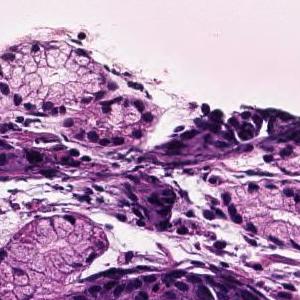
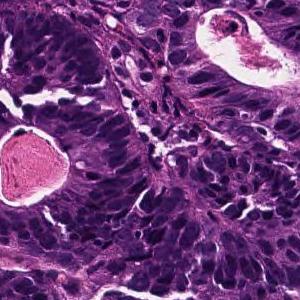
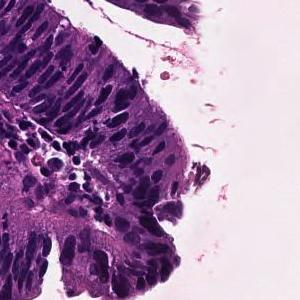
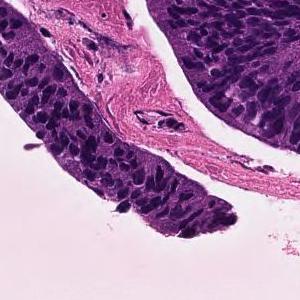
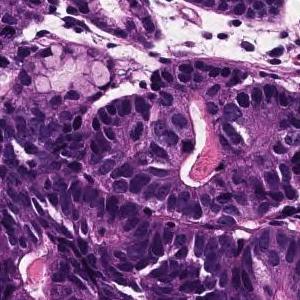
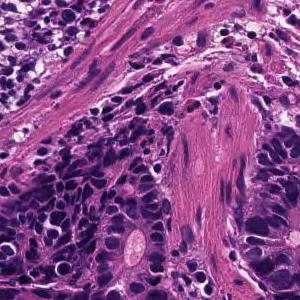
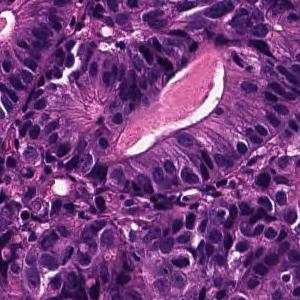
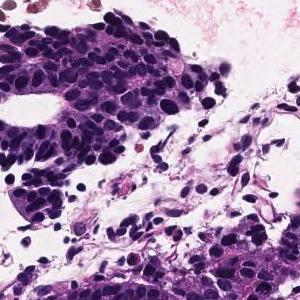
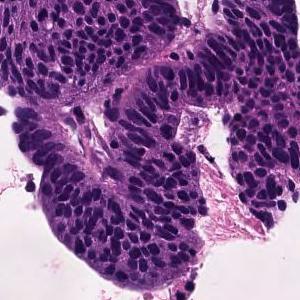
9 image tiles from a single gastric biopsy slide; 300 × 300 pixels each; scanned at ×20.
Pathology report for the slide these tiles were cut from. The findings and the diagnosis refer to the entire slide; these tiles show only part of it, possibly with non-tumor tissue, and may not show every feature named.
In the superficial epithelium, tumor tissue that invades by forming medium-sized to small, irregular ducts is observed. moderately differentiated tubular adenocarcinoma.
